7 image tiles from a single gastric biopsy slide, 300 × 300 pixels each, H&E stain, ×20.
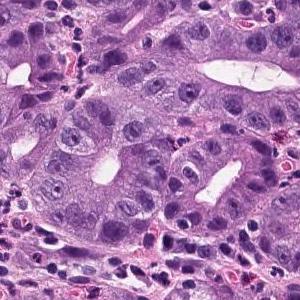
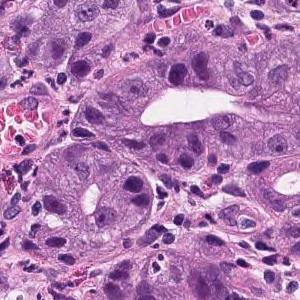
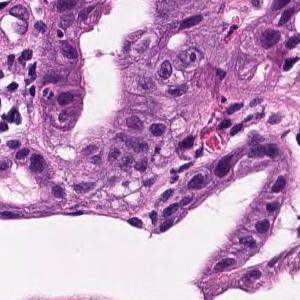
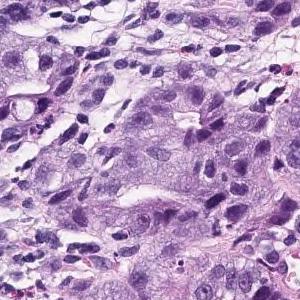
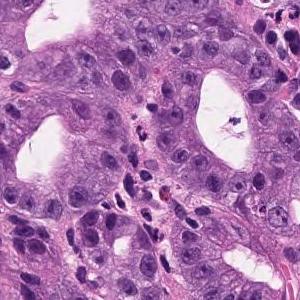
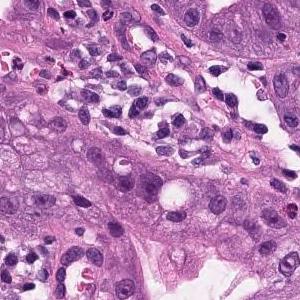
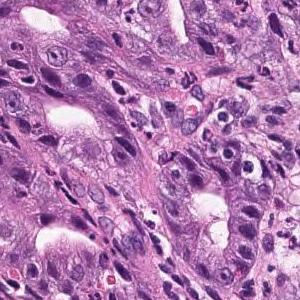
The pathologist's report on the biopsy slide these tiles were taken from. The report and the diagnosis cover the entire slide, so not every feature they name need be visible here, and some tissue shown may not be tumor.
In the superficial epithelium, tumor tissue that invades by forming medium-sized to small, irregular ducts is observed. Well to moderately differentiated adenocarcinoma (well differentiated tubular adenocarcinoma, moderately differentiated tubular adenocarcinoma).
Histologic type: Well to moderately differentiated tubular adenocarcinoma.
